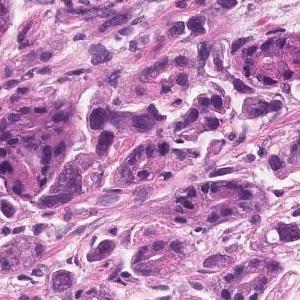
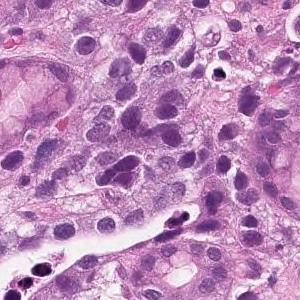
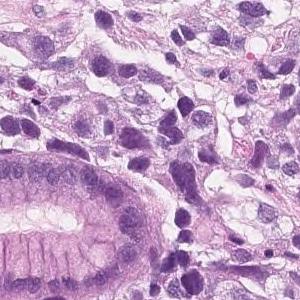
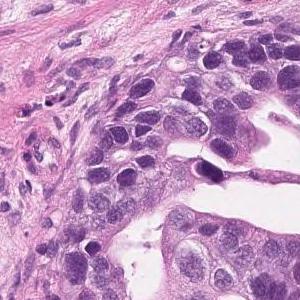
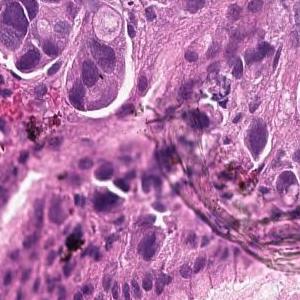
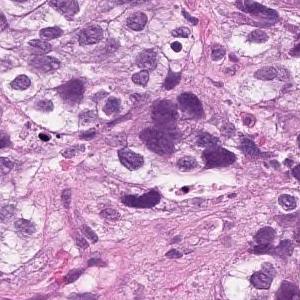
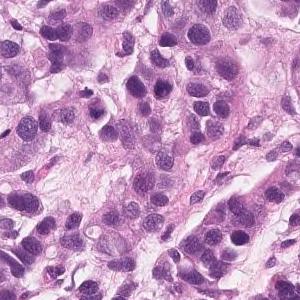
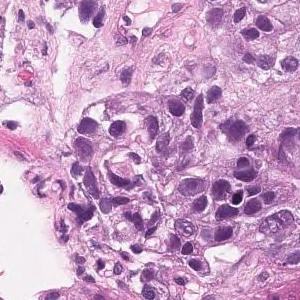
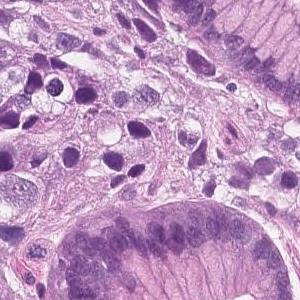
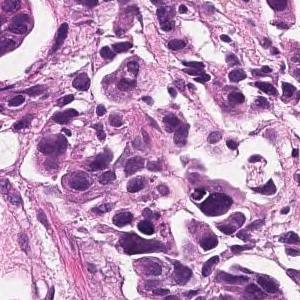
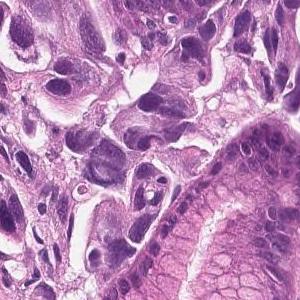
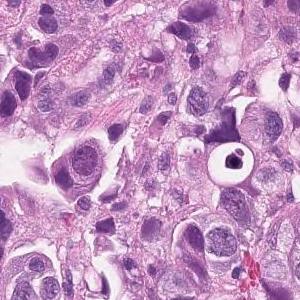
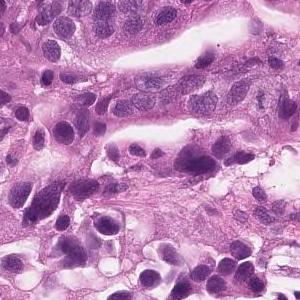
Scanned at ×20 · H&E stain · 13 tiles cut from one stomach biopsy slide · 300×300 px each.
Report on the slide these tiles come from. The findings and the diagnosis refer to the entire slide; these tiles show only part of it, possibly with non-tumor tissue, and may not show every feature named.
Tumor tissue that infiltrates the epithelium in an alveolar manner. Poorly differentiated adenocarcinoma, solid-type
Histological subtype: Poorly differentiated adenocarcinoma, solid type (Japanese Classification of Gastric Carcinoma). The WHO 2019 equivalent is tubular adenocarcinoma, poorly differentiated.
